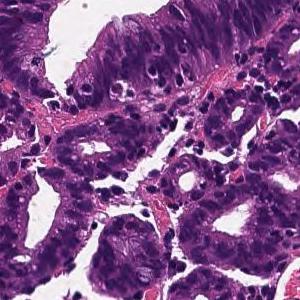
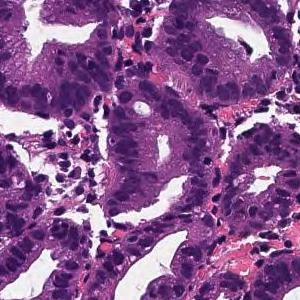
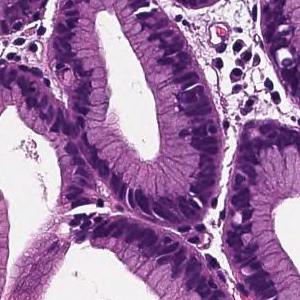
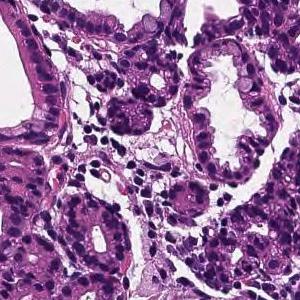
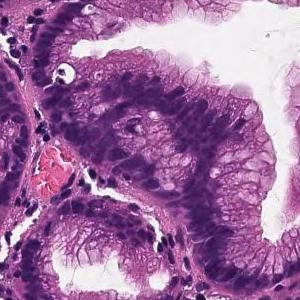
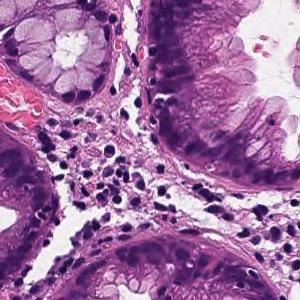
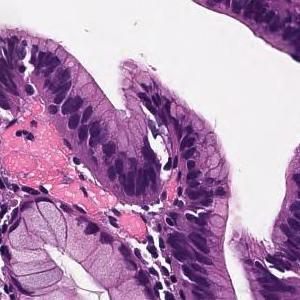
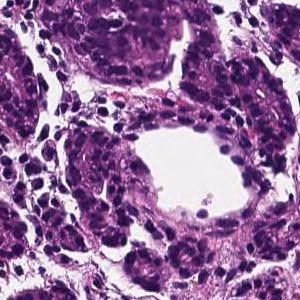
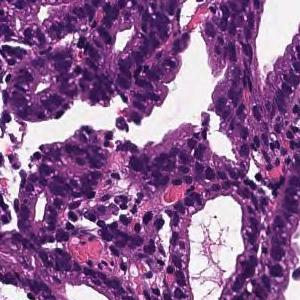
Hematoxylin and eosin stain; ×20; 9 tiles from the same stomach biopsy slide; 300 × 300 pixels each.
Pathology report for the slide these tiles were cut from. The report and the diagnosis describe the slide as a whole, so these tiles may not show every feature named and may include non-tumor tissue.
Cells with elliptical or atypical nuclei form dense ducts with relatively clear growth. Well differentiated tubular adenocarcinoma
